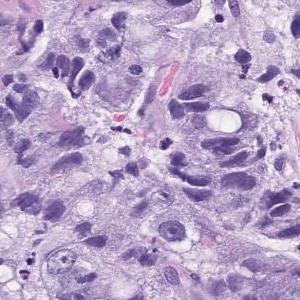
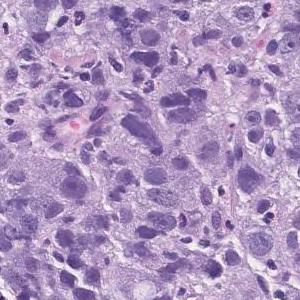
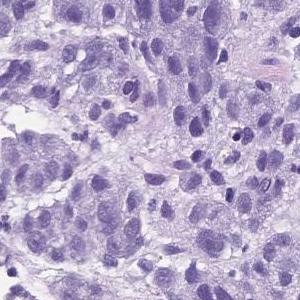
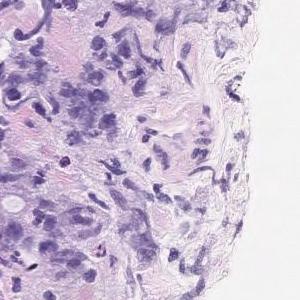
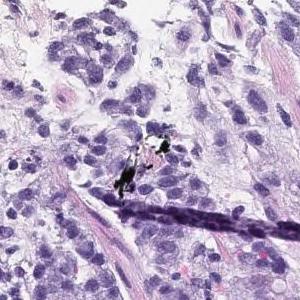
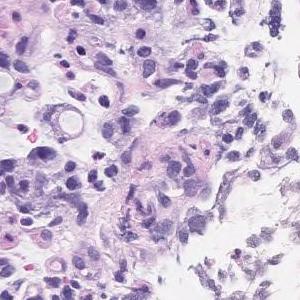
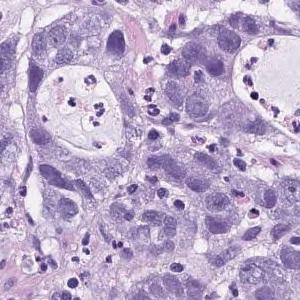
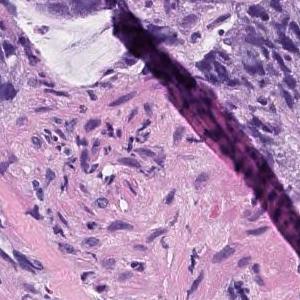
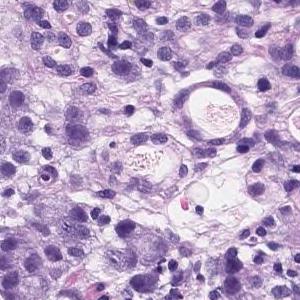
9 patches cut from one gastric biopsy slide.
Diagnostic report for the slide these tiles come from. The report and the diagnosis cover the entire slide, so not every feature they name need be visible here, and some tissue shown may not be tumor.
Atypical l cells with atypical nuclei forming solid vesicles or small irregular atypical ducts that proliferate in a complex manner. poorly differentiated adenocarcinoma, solid type, moderately differentiated tubular adenocarcinoma
"Solid type" is a category of the Japanese Classification of Gastric Carcinoma; in the WHO 2019 classification it is tubular adenocarcinoma, poorly differentiated.
